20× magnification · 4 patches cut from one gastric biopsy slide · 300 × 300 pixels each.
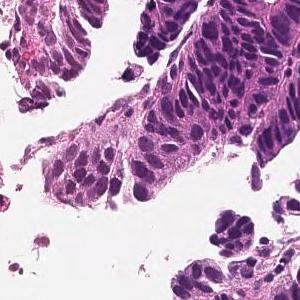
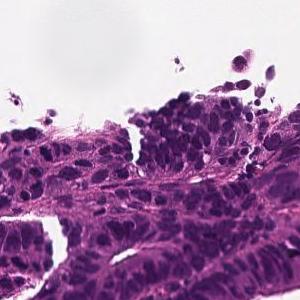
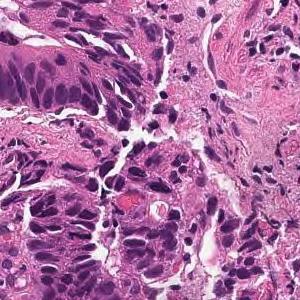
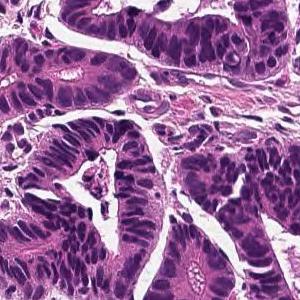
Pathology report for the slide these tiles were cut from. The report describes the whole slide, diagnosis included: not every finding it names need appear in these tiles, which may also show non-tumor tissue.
From the superficial epithelium to the muscularis mucosae, tumor tissue consisting of medium-sized and irregular glandular ducts infiltrating is observed. Well differentiated tubular adenocarcinoma
